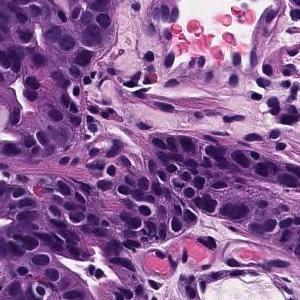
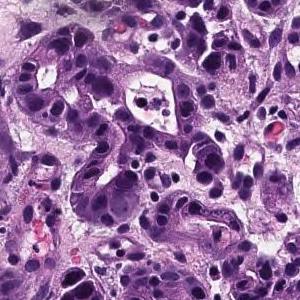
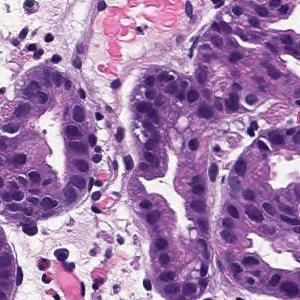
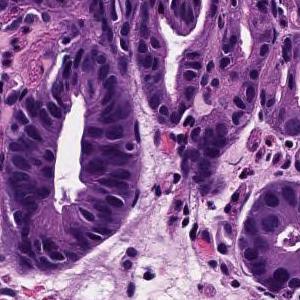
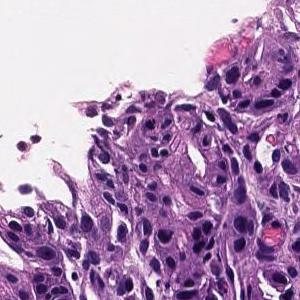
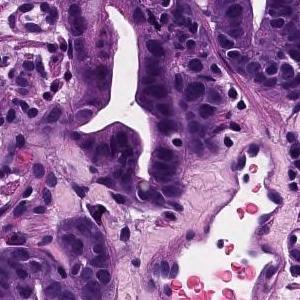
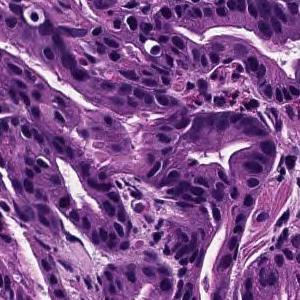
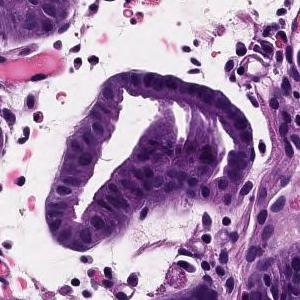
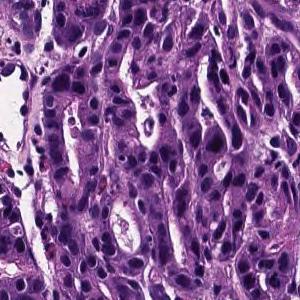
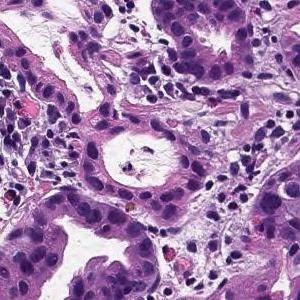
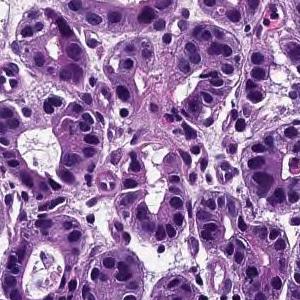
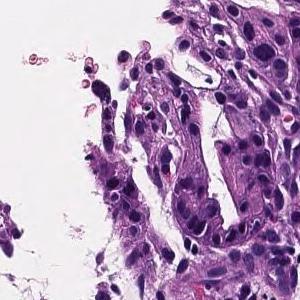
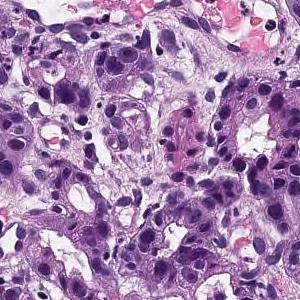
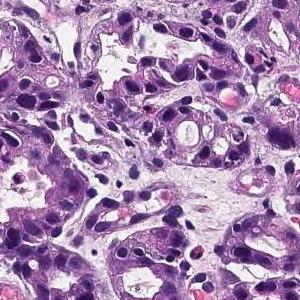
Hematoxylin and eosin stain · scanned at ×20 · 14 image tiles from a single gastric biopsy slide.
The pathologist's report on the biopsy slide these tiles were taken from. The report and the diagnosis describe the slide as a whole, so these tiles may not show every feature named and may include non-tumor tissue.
From the superficial epithelium to the muscularis mucosae, tumor tissue consisting of medium-sized and irregular glandular ducts infiltrating is observed. Well differentiated tubular adenocarcinoma
